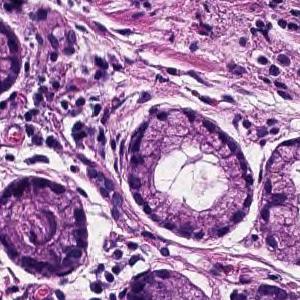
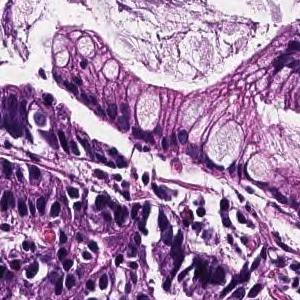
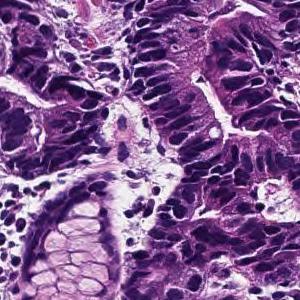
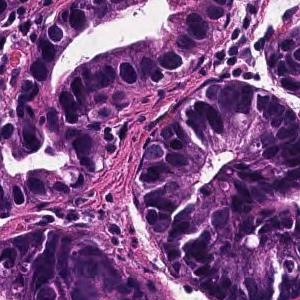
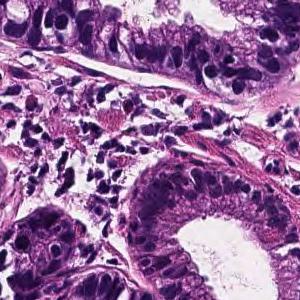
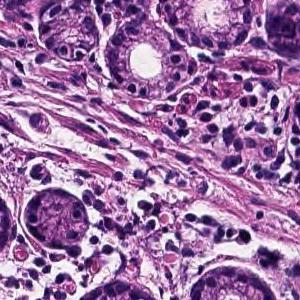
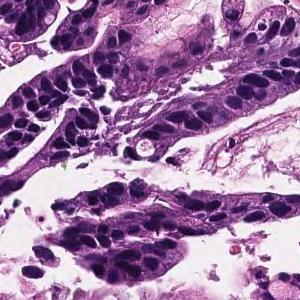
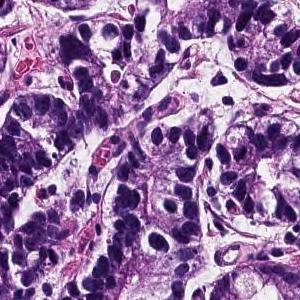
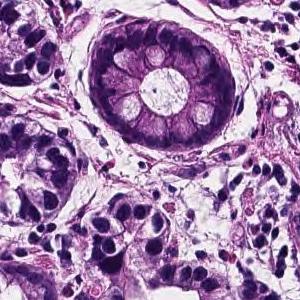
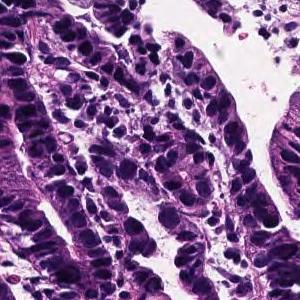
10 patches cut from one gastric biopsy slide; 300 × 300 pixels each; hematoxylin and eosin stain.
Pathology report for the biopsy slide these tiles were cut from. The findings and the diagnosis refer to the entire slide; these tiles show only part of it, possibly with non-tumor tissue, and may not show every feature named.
Tumor cells are large, highly columnar, large club-shaped nuclei, and are associated with chromatin aggregation. Papillary adenocarcinoma.
